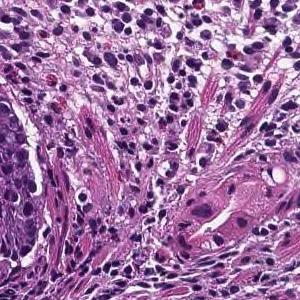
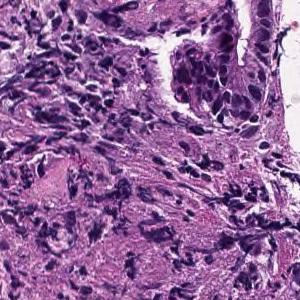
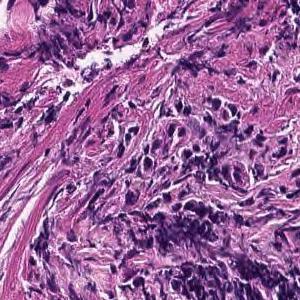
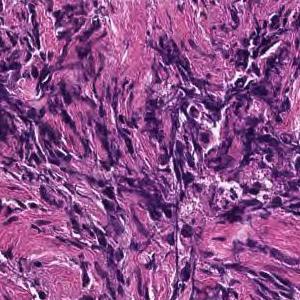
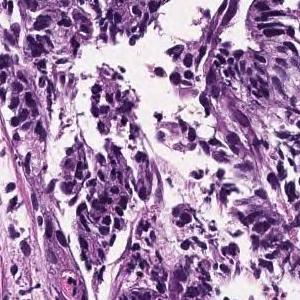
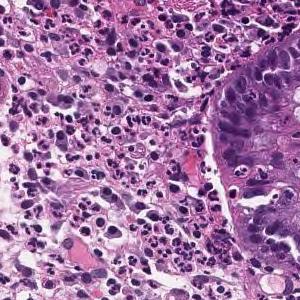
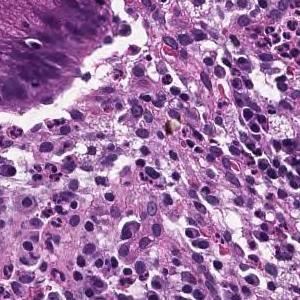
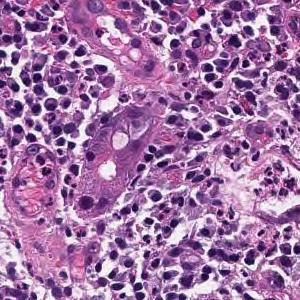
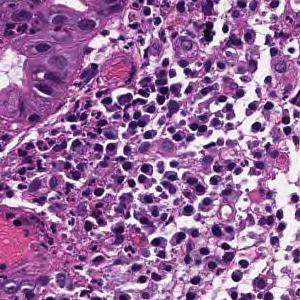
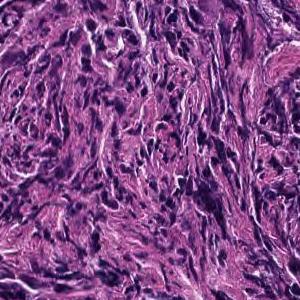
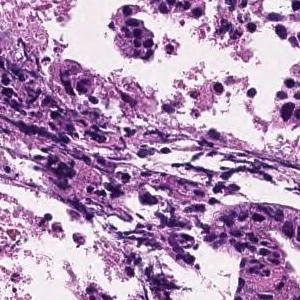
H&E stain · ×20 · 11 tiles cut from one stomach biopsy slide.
Pathology report for the biopsy slide these tiles were cut from. The report and the diagnosis cover the entire slide, so not every feature they name need be visible here, and some tissue shown may not be tumor.
On the superficial epithelium, tumor tissue consisting of large, irregular glandular ducts partially fused and infiltrated is observed. Well to moderately differentiated tubular adenocarcinoma (well differentiated tubular adenocarcinoma, moderately differentiated tubular adenocarcinoma)
Classified as well to moderately differentiated tubular adenocarcinoma.
